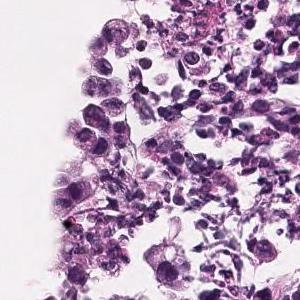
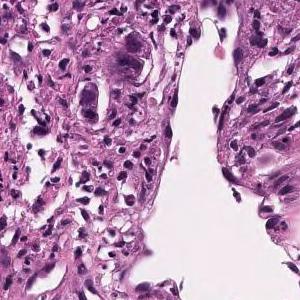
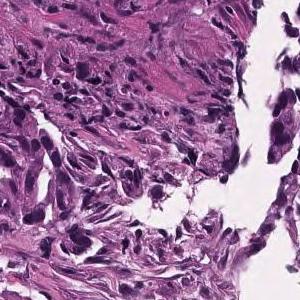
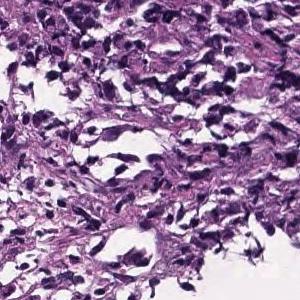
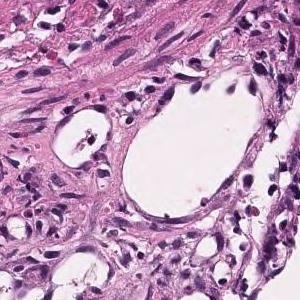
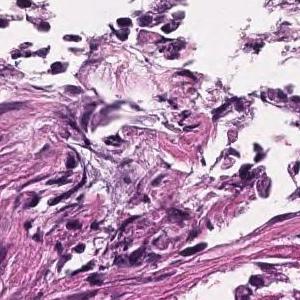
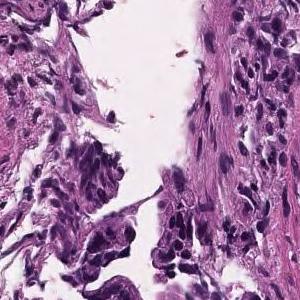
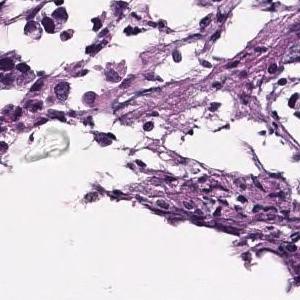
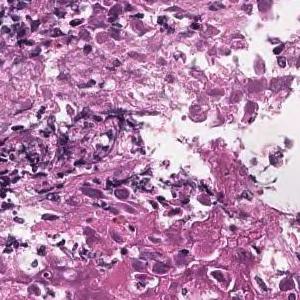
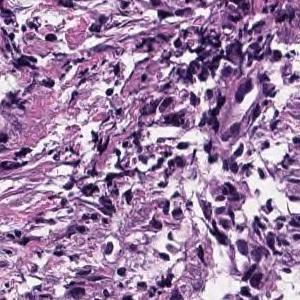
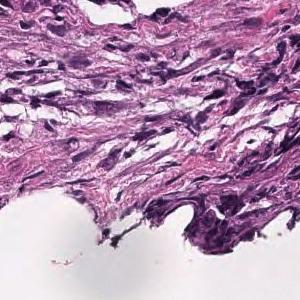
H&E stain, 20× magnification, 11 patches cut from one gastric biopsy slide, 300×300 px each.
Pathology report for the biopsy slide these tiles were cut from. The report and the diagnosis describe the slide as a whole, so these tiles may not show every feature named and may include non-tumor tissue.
In the superficial epithelium, tumor tissue that invades by forming medium-sized to small, irregular ducts is observed. moderately differentiated tubular adenocarcinoma.
